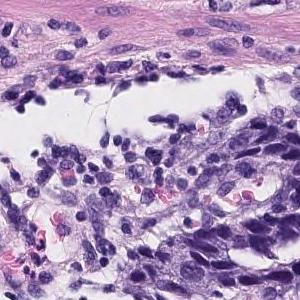
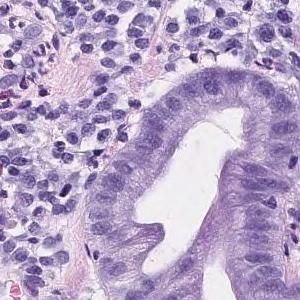
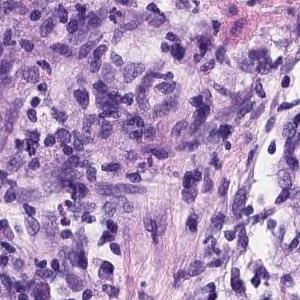
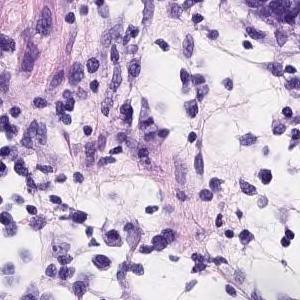
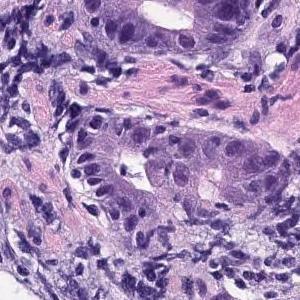
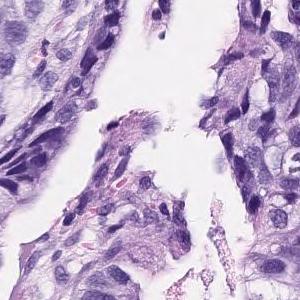
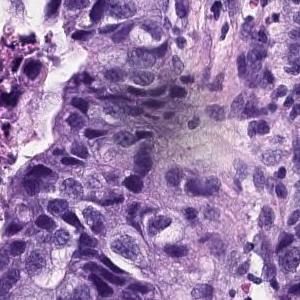
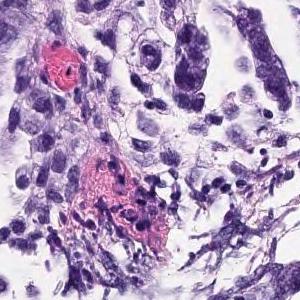
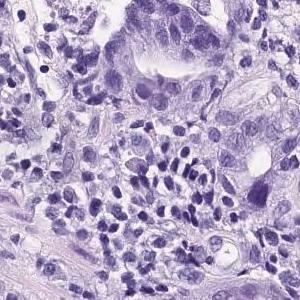
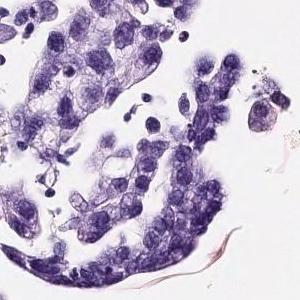
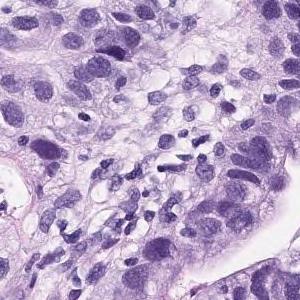
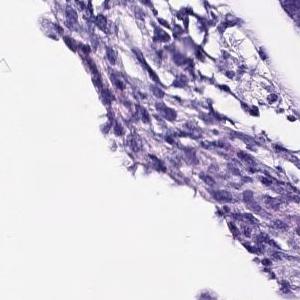
12 image tiles from a single gastric biopsy slide · 300 × 300 pixels each · H&E · 20× magnification.
Pathology report for the biopsy slide these tiles were cut from. Both the report and the diagnosis are for the whole slide: these tiles need not show every feature named, and some of the tissue shown may not be tumor.
On the superficial epithelium, tumor tissue consisting of medium to small irregular tubules partially fused and proliferated is observed. moderately differentiated tubular adenocarcinoma
